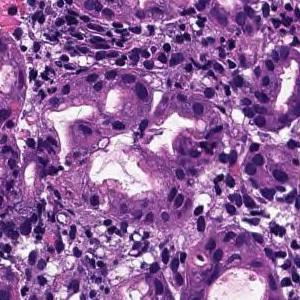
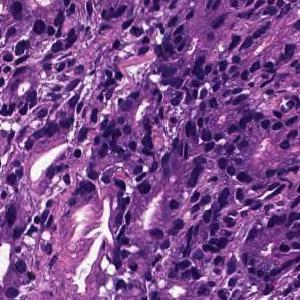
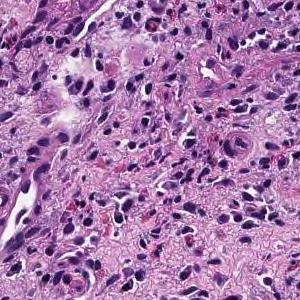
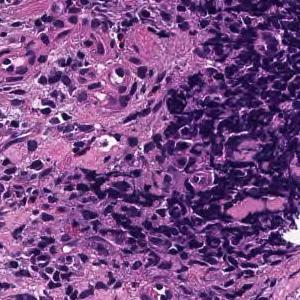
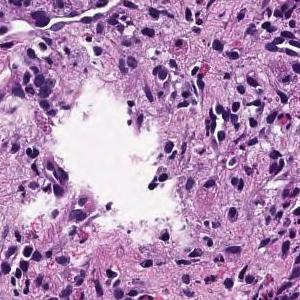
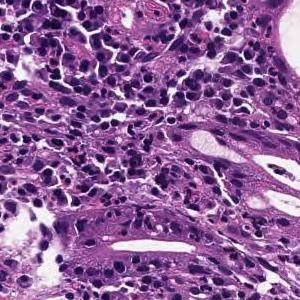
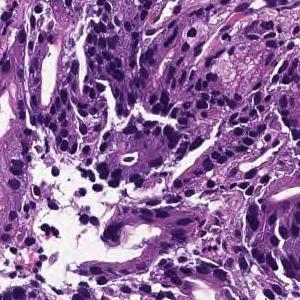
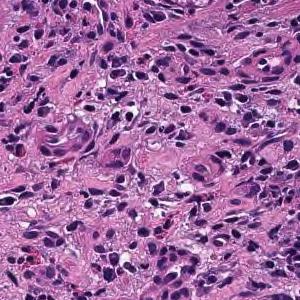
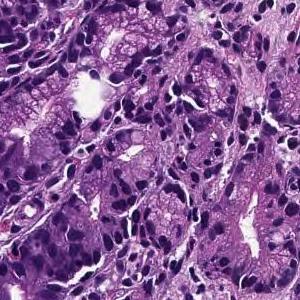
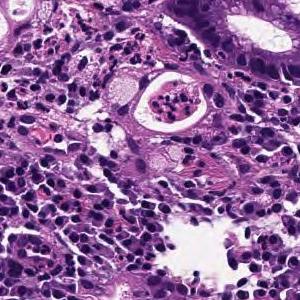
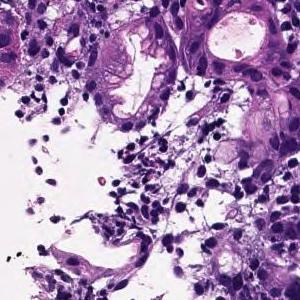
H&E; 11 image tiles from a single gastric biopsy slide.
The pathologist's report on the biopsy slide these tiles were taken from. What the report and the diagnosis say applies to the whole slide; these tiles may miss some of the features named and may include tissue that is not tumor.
In the superficial epithelium, tumor tissue that invades by forming medium-sized to small, irregular ducts is observed. moderately differentiated tubular adenocarcinoma.
